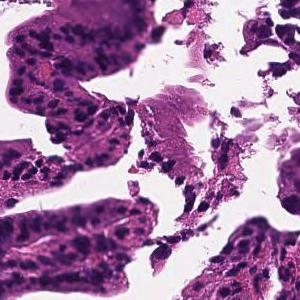
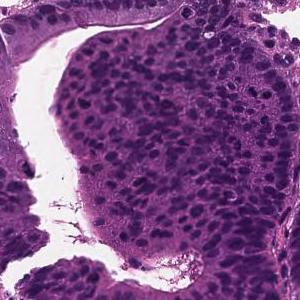
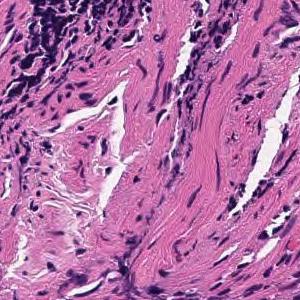
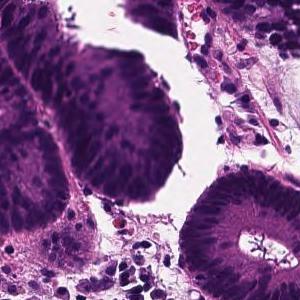
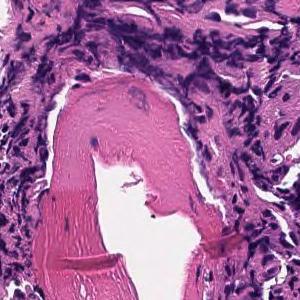
H&E; scanned at ×20; 5 tiles cut from one stomach biopsy slide; 300 × 300 pixels each.
Report on the slide these tiles come from. The report describes the whole slide, diagnosis included: not every finding it names need appear in these tiles, which may also show non-tumor tissue.
Tumor cells are large, highly columnar, large club-shaped nuclei, and are associated with chromatin aggregation. Papillary adenocarcinoma.
